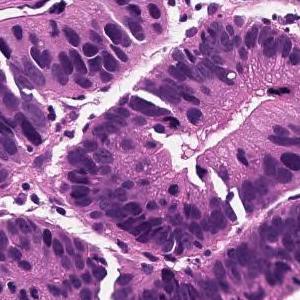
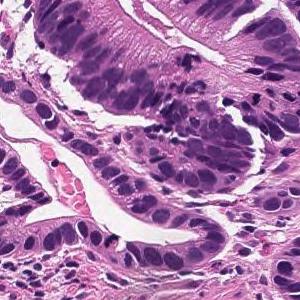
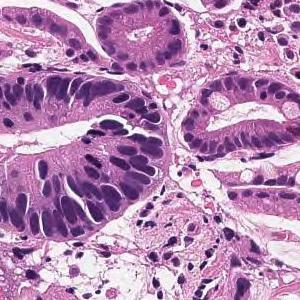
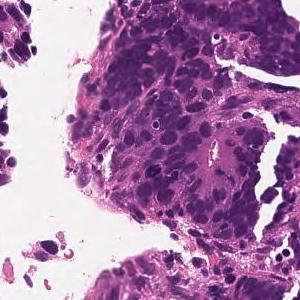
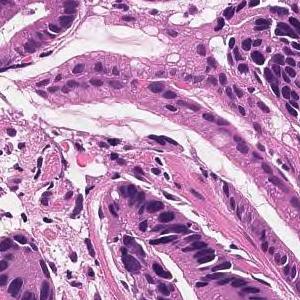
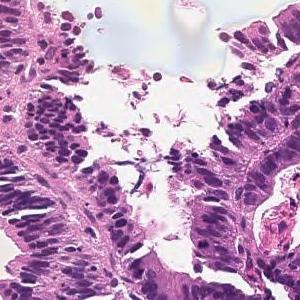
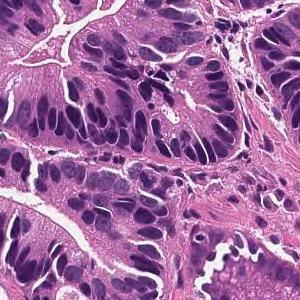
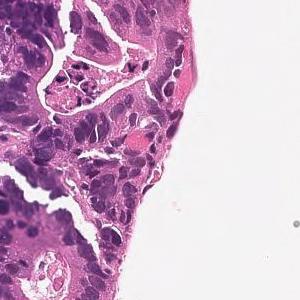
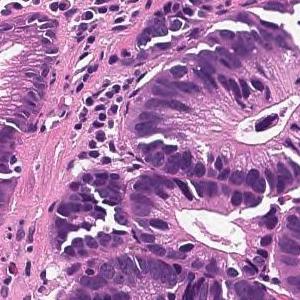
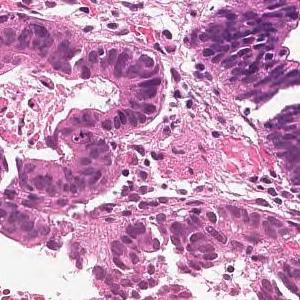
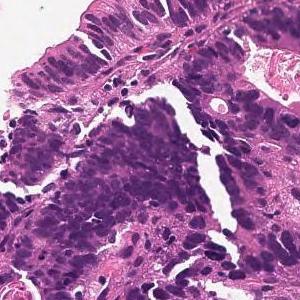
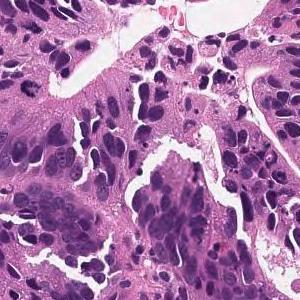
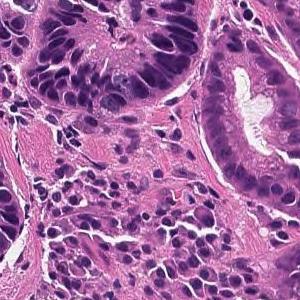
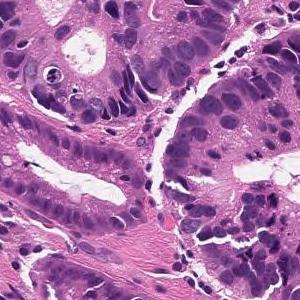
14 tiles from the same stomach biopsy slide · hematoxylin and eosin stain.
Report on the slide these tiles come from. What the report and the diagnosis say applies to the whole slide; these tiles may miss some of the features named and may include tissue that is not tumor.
Tumor cells are large, highly columnar, large club-shaped nuclei, and are associated with chromatin aggregation. Papillary adenocarcinoma.
